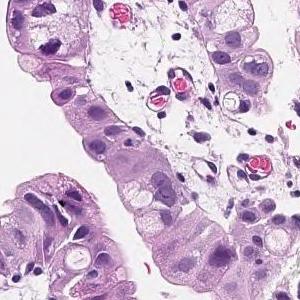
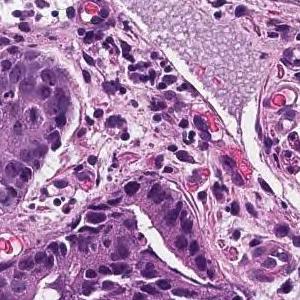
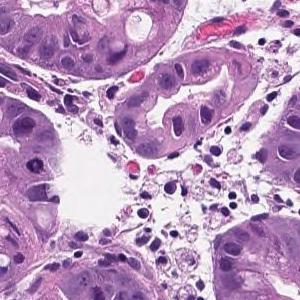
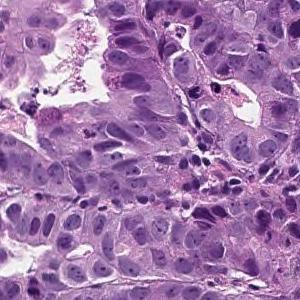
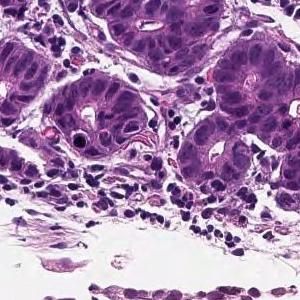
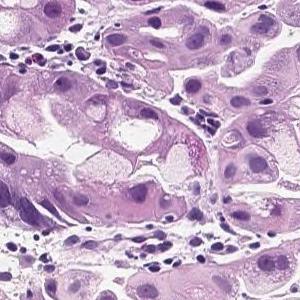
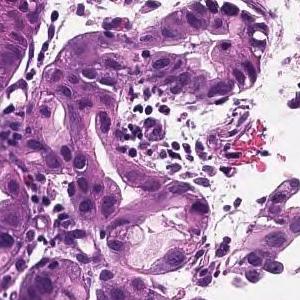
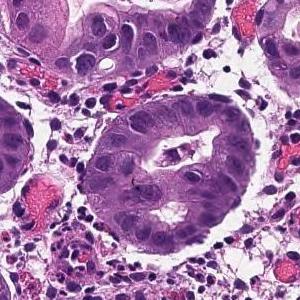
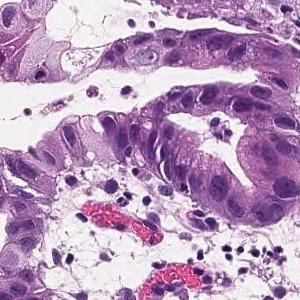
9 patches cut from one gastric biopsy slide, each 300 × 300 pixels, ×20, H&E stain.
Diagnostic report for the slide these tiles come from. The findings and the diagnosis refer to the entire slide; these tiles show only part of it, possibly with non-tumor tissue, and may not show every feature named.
On the superficial epithelium, tumor tissue that infiltrates by forming medium-sized papillary or small irregular ducts is observed. Papillary adenocarcinoma
